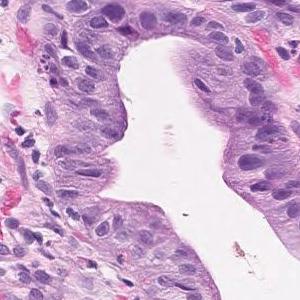
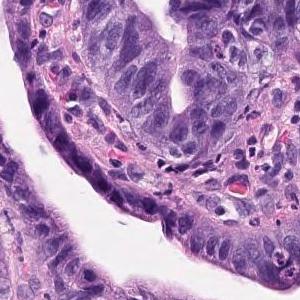
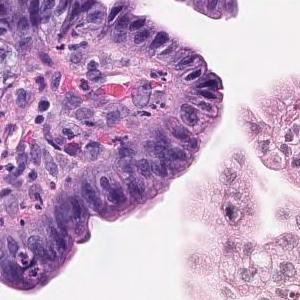
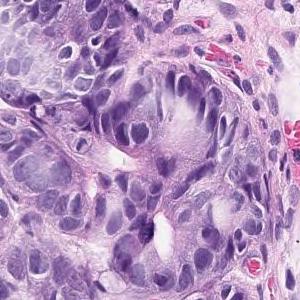
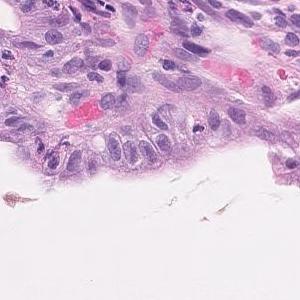
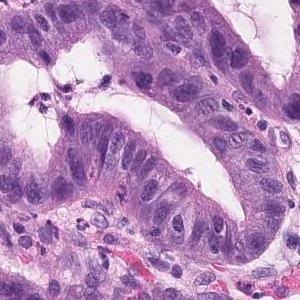
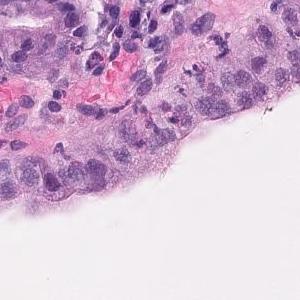
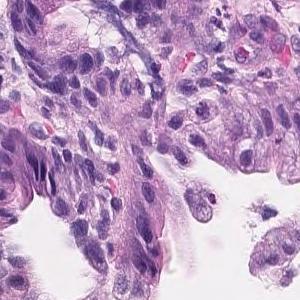
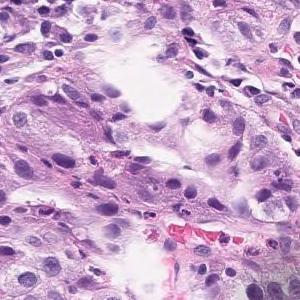
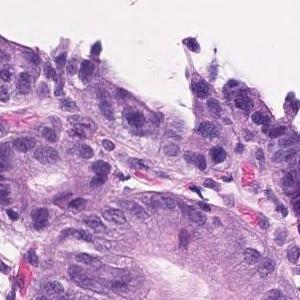
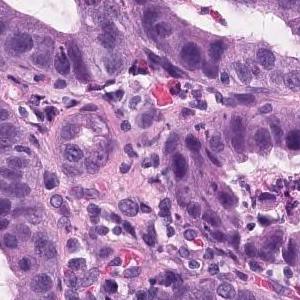
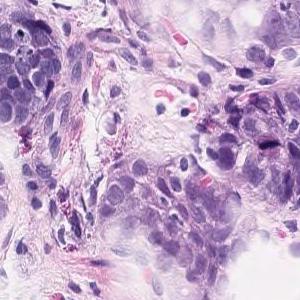
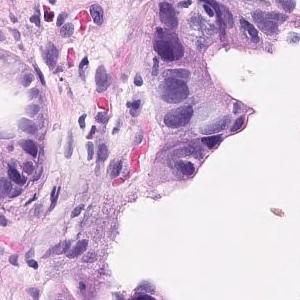
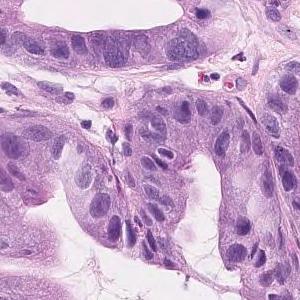
14 tiles cut from one stomach biopsy slide; H&E; 20× magnification.
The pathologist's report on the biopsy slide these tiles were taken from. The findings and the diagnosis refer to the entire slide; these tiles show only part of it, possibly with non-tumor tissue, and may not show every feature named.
On the superficial epithelium, tumor tissue consisting of medium-sized to large-sized, round or irregular glandular duct growth images is observed. Well differentiated adenocarcinoma.
Subtype: Well differentiated tubular adenocarcinoma.
